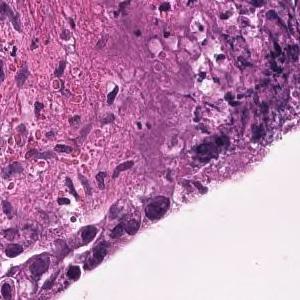
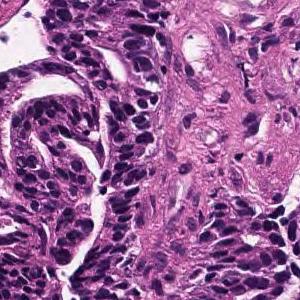
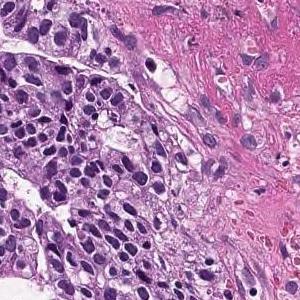
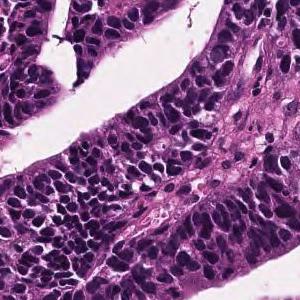
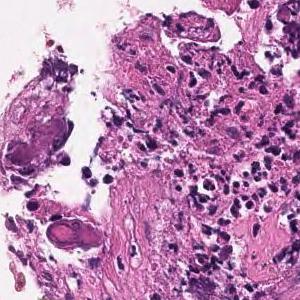
H&E stain; ×20; 5 image tiles from a single gastric biopsy slide; 300×300 px each.
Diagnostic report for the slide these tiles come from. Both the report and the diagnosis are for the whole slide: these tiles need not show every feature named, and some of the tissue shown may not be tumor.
In the superficial epithelium, tumor tissue that invades by forming medium-sized to small, irregular ducts is observed. Well differentiated tubular adenocarcinoma.
